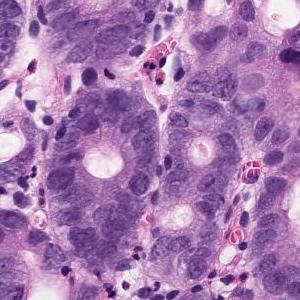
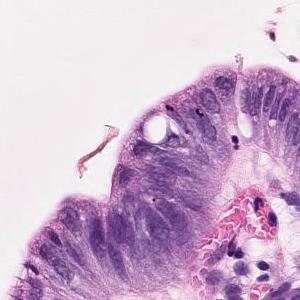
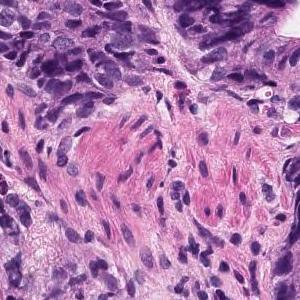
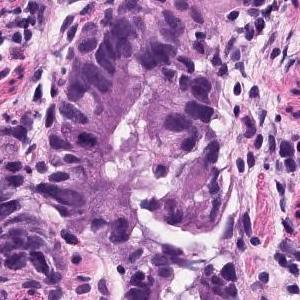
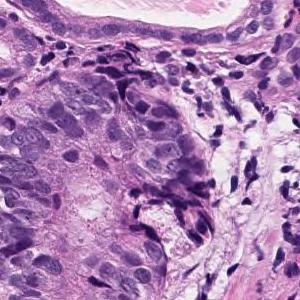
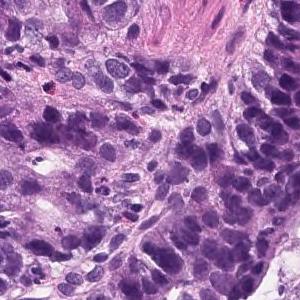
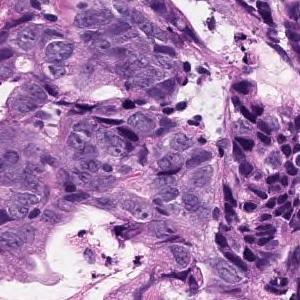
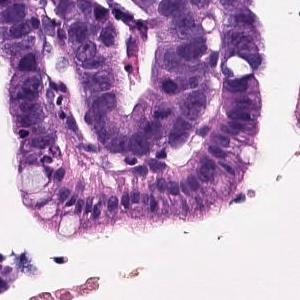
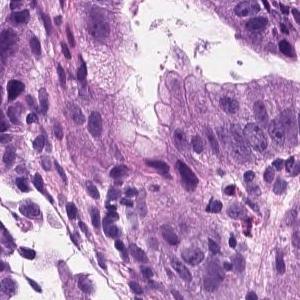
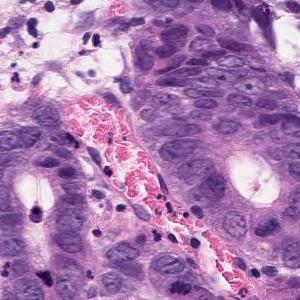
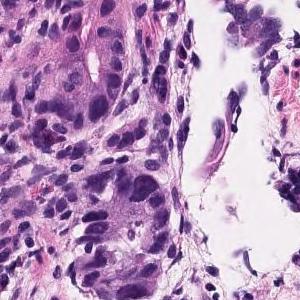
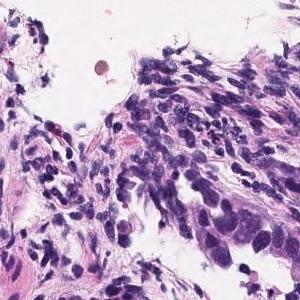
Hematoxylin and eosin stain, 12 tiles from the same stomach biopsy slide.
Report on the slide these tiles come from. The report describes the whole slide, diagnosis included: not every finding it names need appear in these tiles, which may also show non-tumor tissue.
The swollen atypical epithelium of the nucleus forms an irregular ductal structure and proliferates. moderately differentiated tubular adenocarcinoma
